Hematoxylin and eosin stain · 7 patches cut from one gastric biopsy slide.
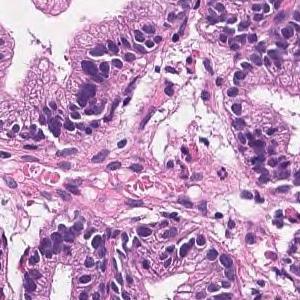
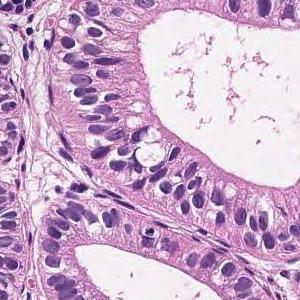
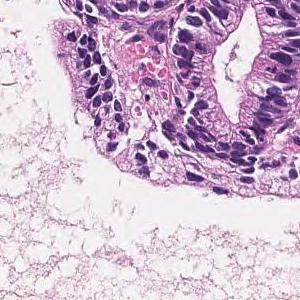
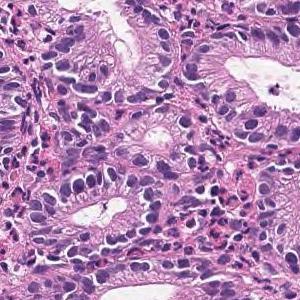
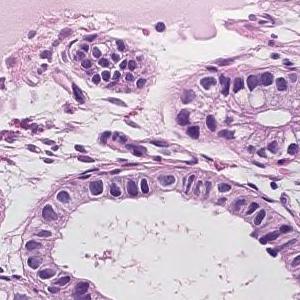
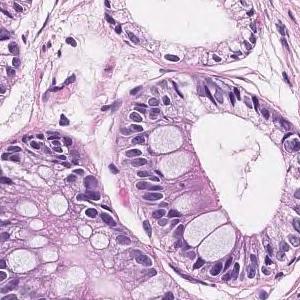
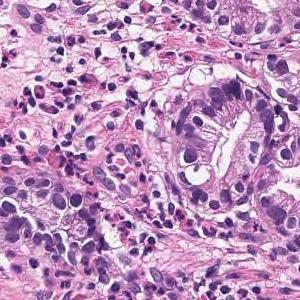
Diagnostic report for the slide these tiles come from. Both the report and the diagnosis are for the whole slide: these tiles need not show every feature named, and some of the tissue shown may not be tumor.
In the superficial epithelium, tumor tissue that invades by forming medium-sized to small, irregular ducts is observed. Well differentiated tubular adenocarcinoma.
